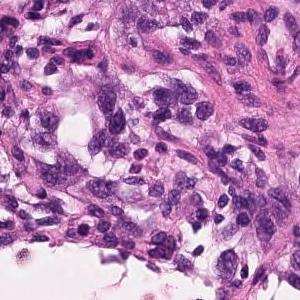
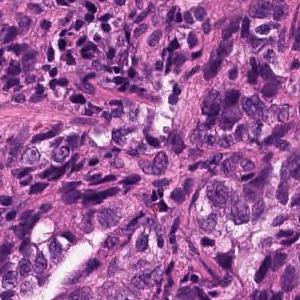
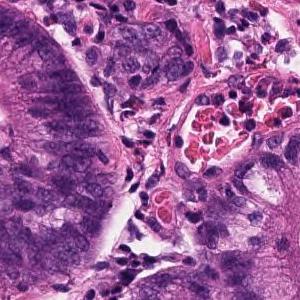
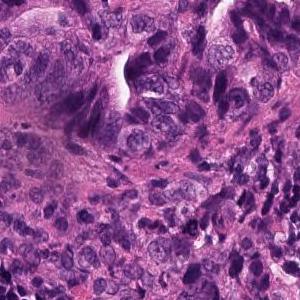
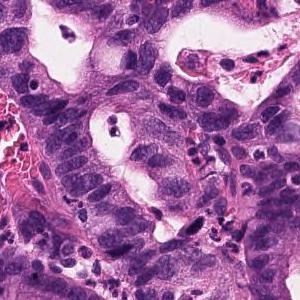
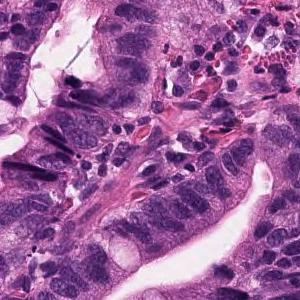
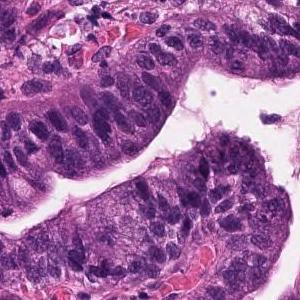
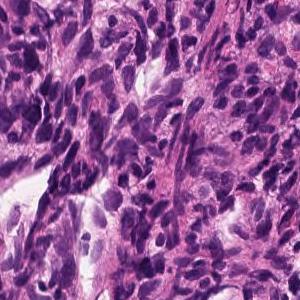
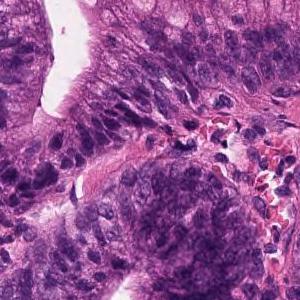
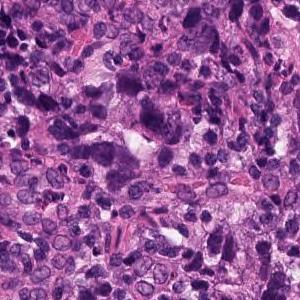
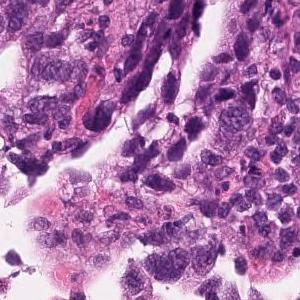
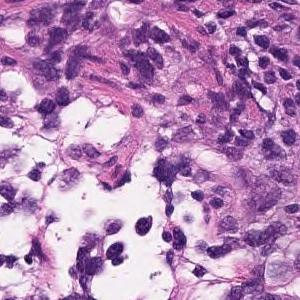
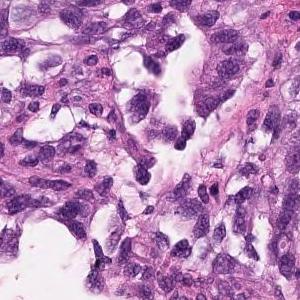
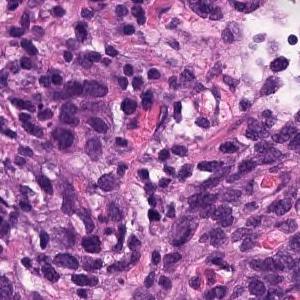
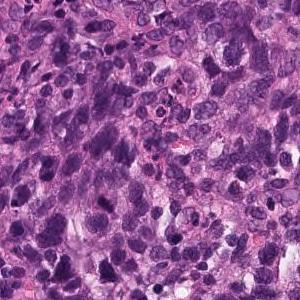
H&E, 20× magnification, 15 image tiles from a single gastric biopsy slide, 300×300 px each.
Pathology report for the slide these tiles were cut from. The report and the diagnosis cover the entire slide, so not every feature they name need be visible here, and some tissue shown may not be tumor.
In the superficial epithelium, tumor tissue that invades by forming medium-sized to small, irregular ducts is observed. Moderately differentiated adenocarcinoma.
Histological subtype: Moderately differentiated tubular adenocarcinoma.
